13 patches cut from one gastric biopsy slide, 20× magnification.
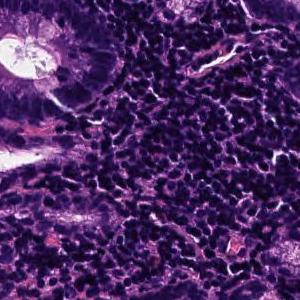
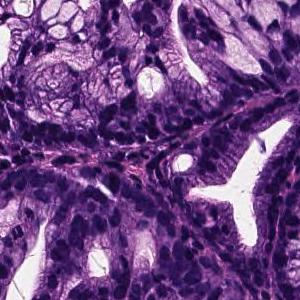
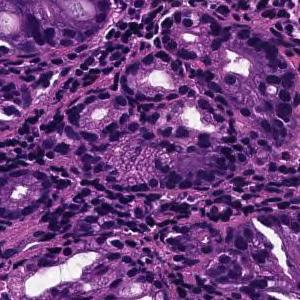
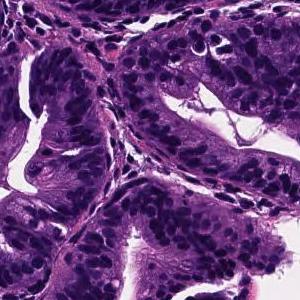
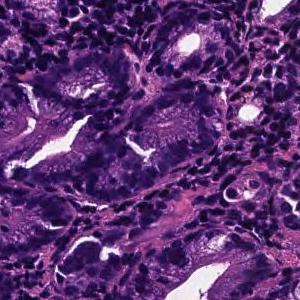
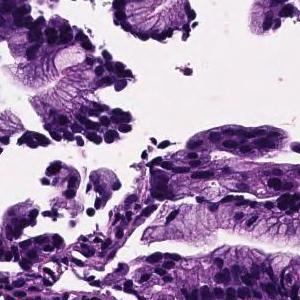
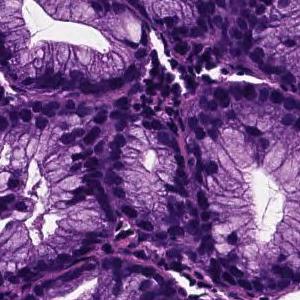
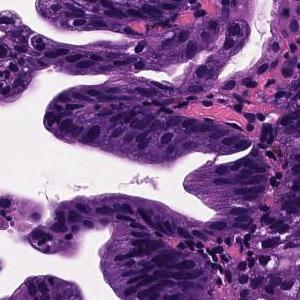
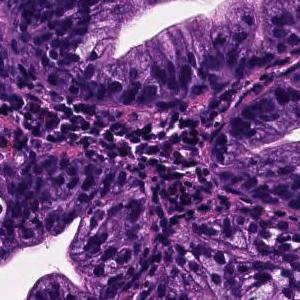
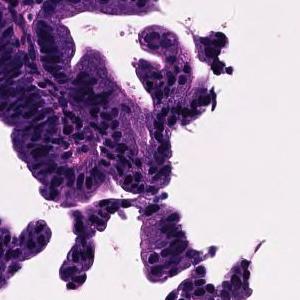
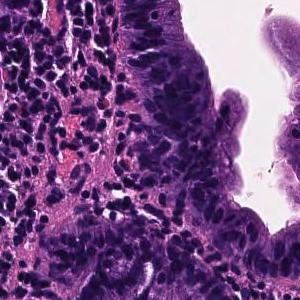
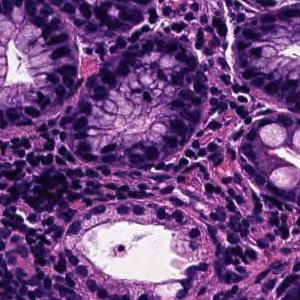
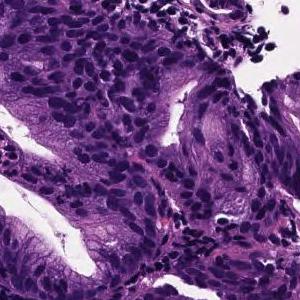
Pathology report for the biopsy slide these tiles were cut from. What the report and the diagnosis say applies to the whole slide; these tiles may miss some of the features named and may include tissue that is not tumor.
On the superficial epithelium, tumor tissue that infiltrates by forming medium-sized papillary or small irregular ducts is observed. Papillary adenocarcinoma
